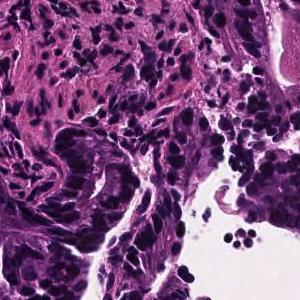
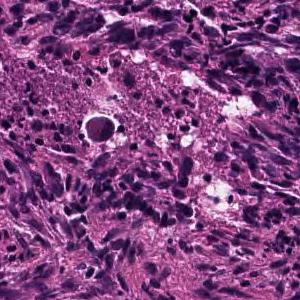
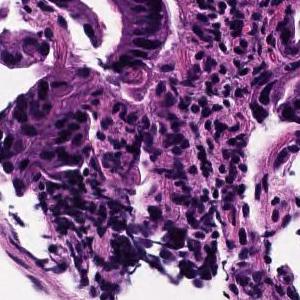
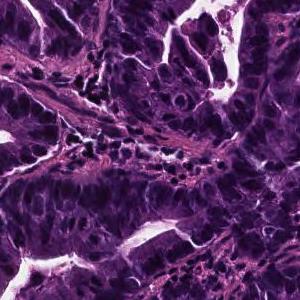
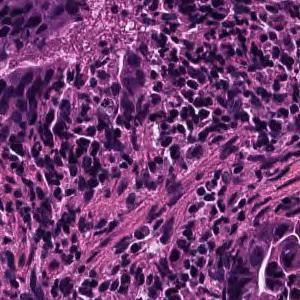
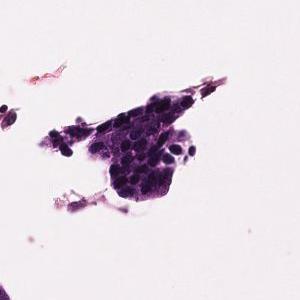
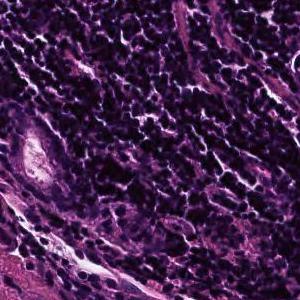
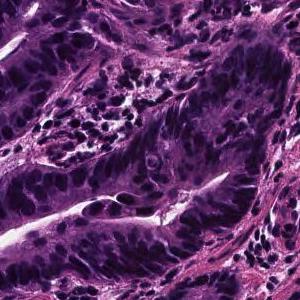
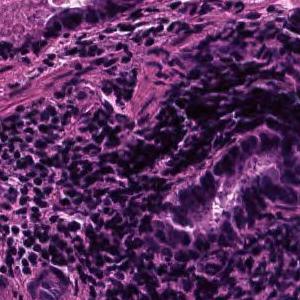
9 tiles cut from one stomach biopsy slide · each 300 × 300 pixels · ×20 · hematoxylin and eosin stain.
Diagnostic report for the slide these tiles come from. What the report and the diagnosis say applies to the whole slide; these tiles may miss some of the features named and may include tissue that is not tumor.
On the superficial epithelium, tumor tissue consisting of large, irregular glandular ducts partially fused and infiltrated is observed. Well to moderately differentiated tubular adenocarcinoma (well differentiated tubular adenocarcinoma, moderately differentiated tubular adenocarcinoma)
Tumor subtype: well to moderately differentiated tubular adenocarcinoma.
